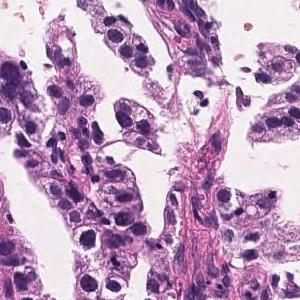
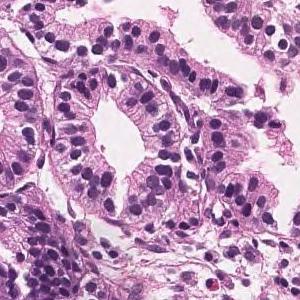
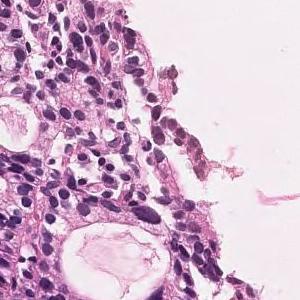
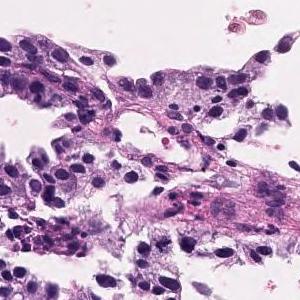
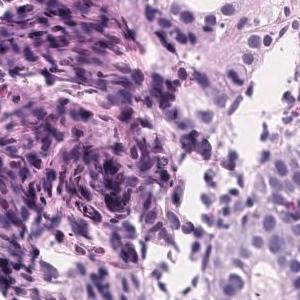
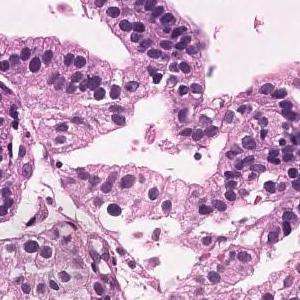
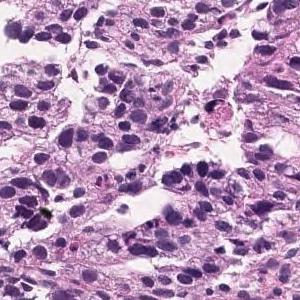
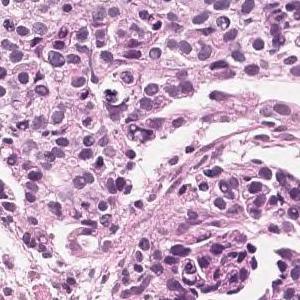
20× magnification, 8 image tiles from a single gastric biopsy slide, each 300 × 300 pixels.
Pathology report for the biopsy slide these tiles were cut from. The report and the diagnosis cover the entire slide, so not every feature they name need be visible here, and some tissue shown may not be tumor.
In the superficial epithelium, tumor tissue that invades by forming medium-sized to small, irregular ducts is observed. moderately differentiated tubular adenocarcinoma.
